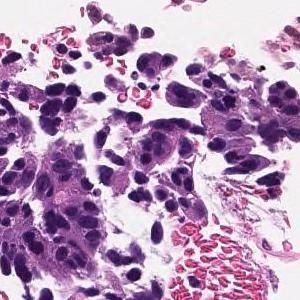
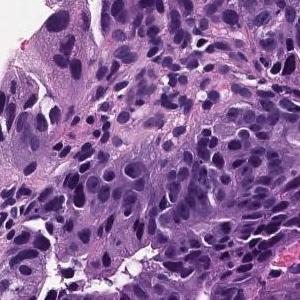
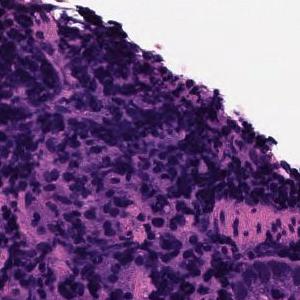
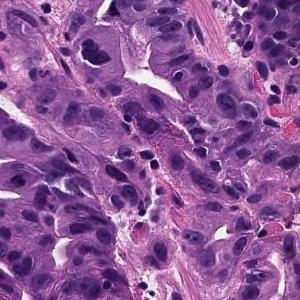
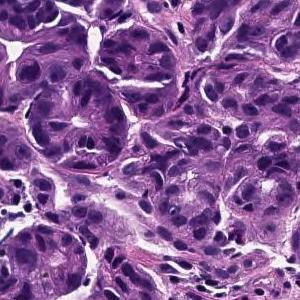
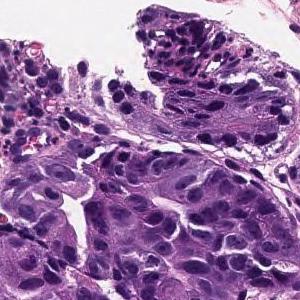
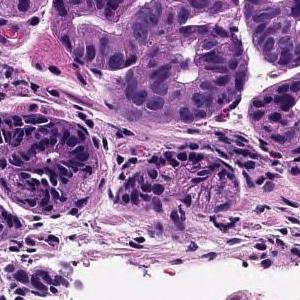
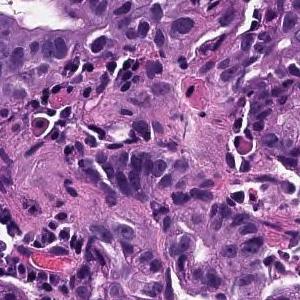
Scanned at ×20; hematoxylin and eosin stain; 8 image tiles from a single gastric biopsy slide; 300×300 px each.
Diagnostic report for the slide these tiles come from. The report describes the whole slide, diagnosis included: not every finding it names need appear in these tiles, which may also show non-tumor tissue.
On the superficial epithelium, tumor tissue consisting of large irregular glandular ducts partially fused and infiltrated is observed. Well to moderately differentiated tubular adenocarcinoma (well differentiated tubular adenocarcinoma, moderately differentiated tubular adenocarcinoma)
Tumor subtype: well to moderately differentiated tubular adenocarcinoma.
